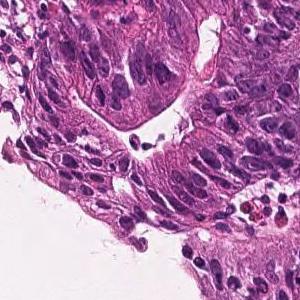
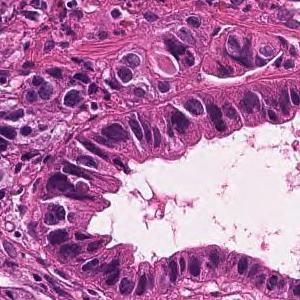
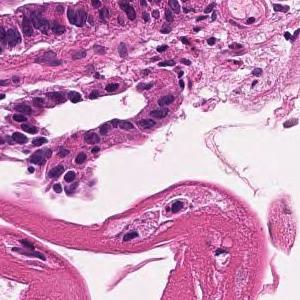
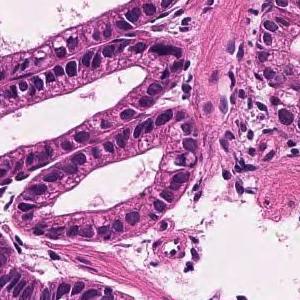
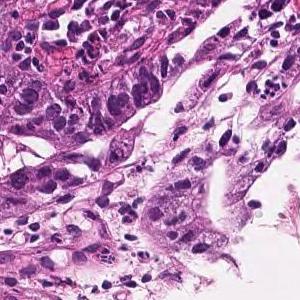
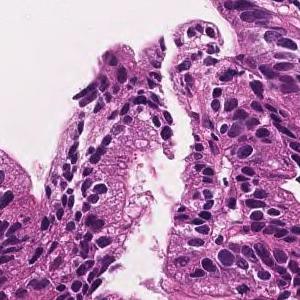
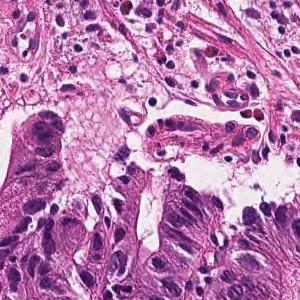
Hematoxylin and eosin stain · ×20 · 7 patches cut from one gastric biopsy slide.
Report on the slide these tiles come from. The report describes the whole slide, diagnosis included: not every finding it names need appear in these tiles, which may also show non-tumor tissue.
In the superficial epithelium, tumor tissue that invades by forming medium-sized to small, irregular ducts is observed. moderately differentiated tubular adenocarcinoma.
